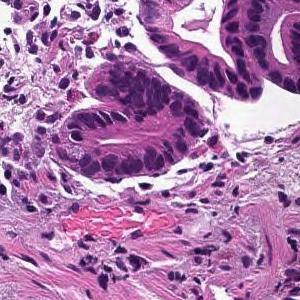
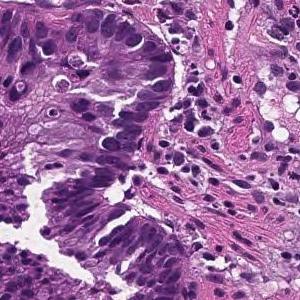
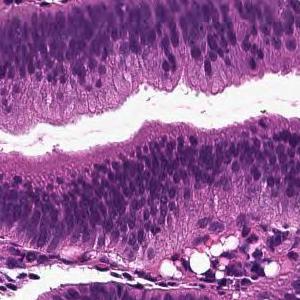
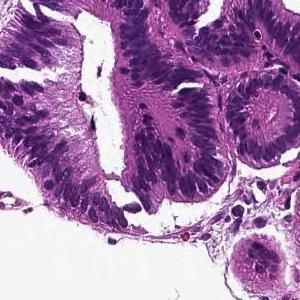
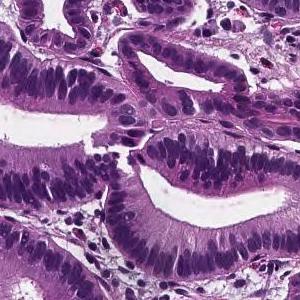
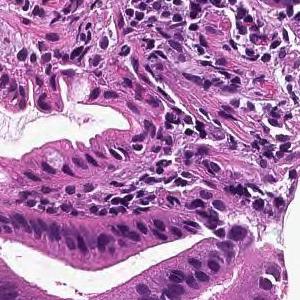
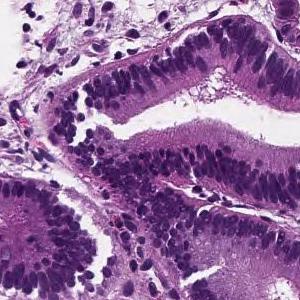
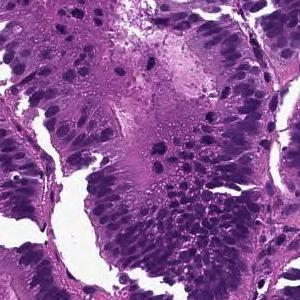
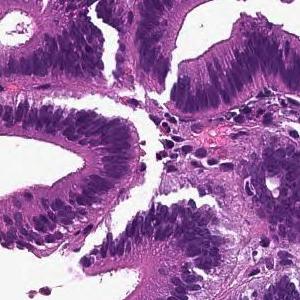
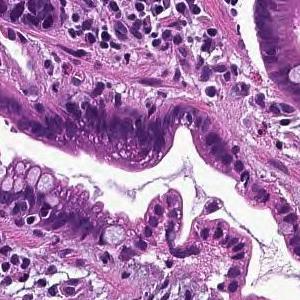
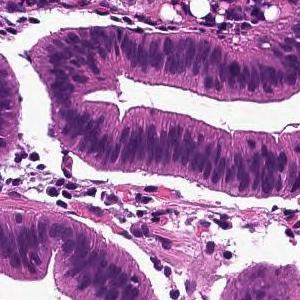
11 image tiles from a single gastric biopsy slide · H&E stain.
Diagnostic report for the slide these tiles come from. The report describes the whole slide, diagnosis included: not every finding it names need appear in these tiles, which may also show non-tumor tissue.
From the superficial epithelium to the muscularis mucosae, tumor tissue consisting of medium-sized and irregular glandular ducts infiltrating is observed. Well differentiated tubular adenocarcinoma
